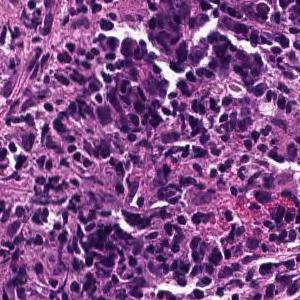
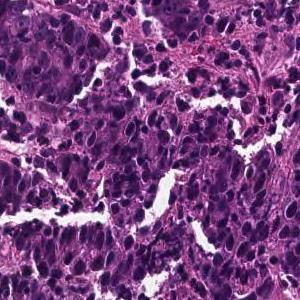
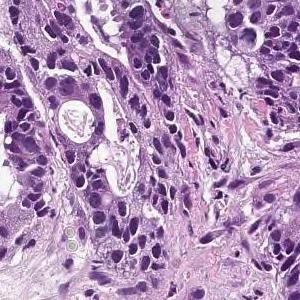
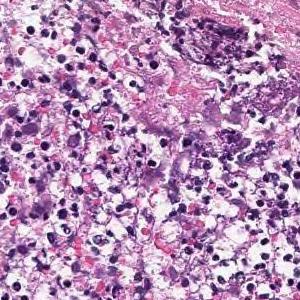
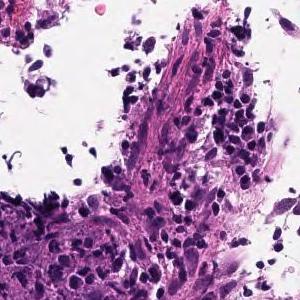
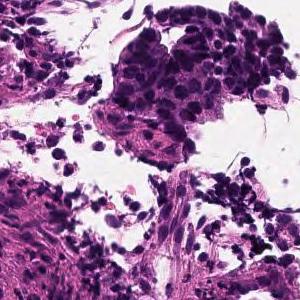
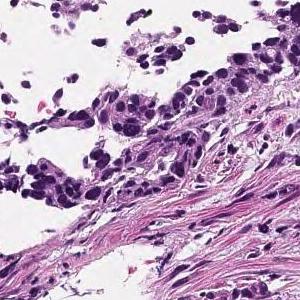
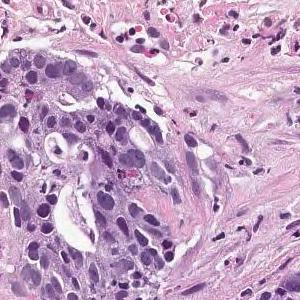
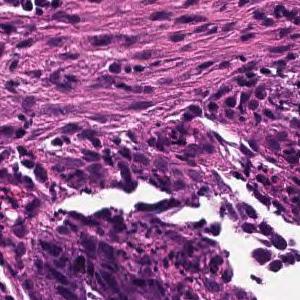
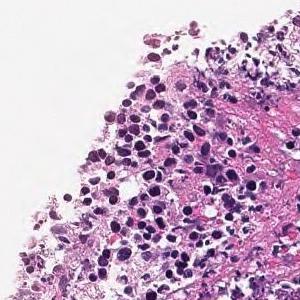
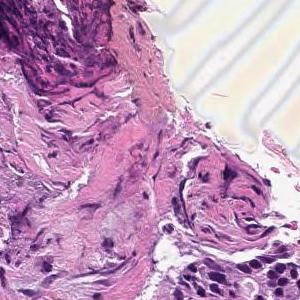
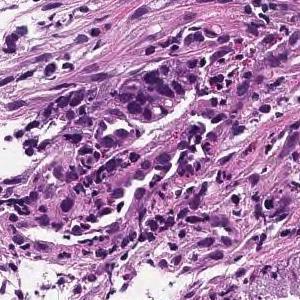
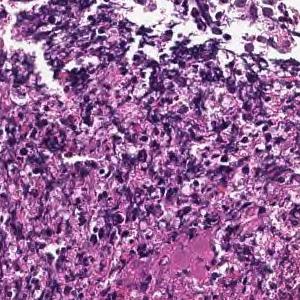
H&E stain; 20× magnification; 13 image tiles from a single gastric biopsy slide; 300×300 px each.
Diagnostic report for the slide these tiles come from. The report and the diagnosis cover the entire slide, so not every feature they name need be visible here, and some tissue shown may not be tumor.
In the superficial epithelium, tumor tissue that invades by forming medium-sized to small, irregular ducts is observed. moderately differentiated tubular adenocarcinoma.
